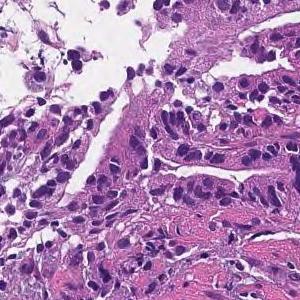
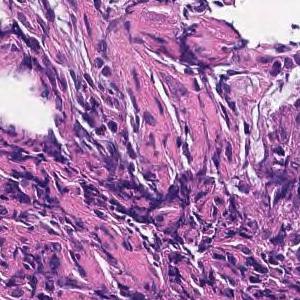
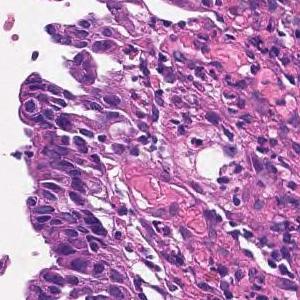
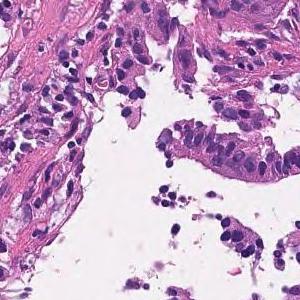
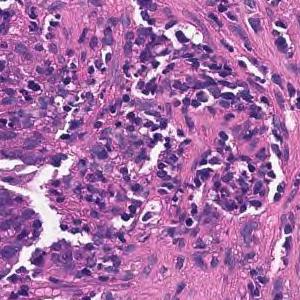
H&E stain · 5 patches cut from one gastric biopsy slide · 300×300 px each.
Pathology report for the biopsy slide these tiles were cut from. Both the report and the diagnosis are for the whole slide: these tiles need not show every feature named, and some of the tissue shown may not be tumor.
On the superficial epithelium, tumor tissue consisting of large, irregular glandular ducts partially fused and infiltrated is observed. Well to moderately differentiated tubular adenocarcinoma (well differentiated tubular adenocarcinoma, moderately differentiated tubular adenocarcinoma)
Histological subtype: Well to moderately differentiated tubular adenocarcinoma.
